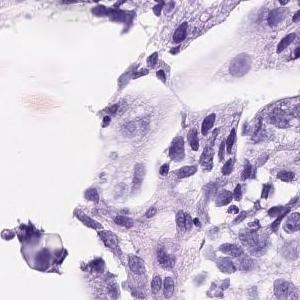
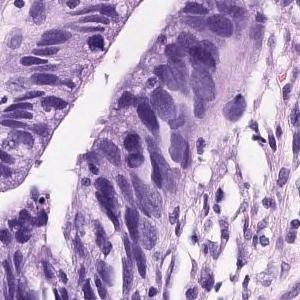
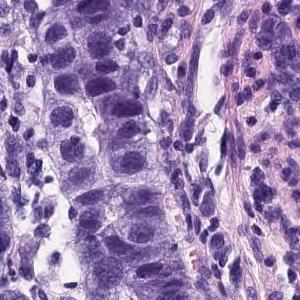
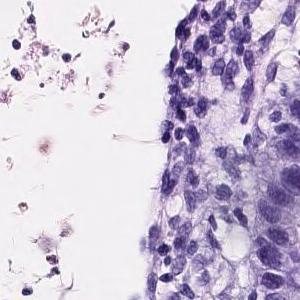
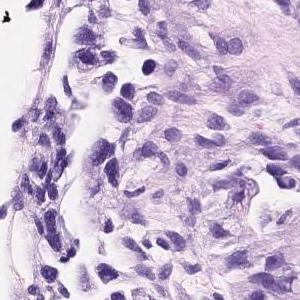
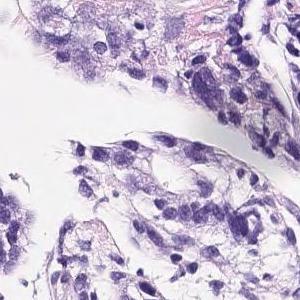
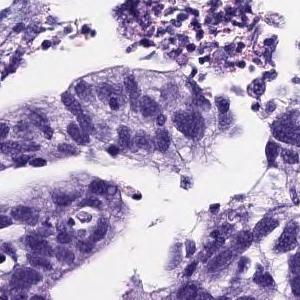
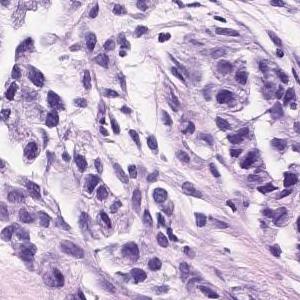
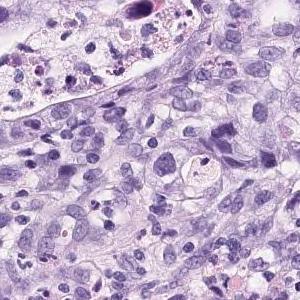
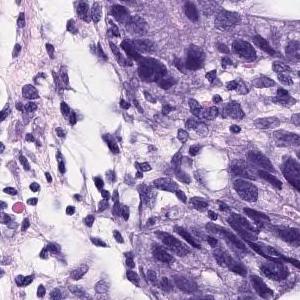
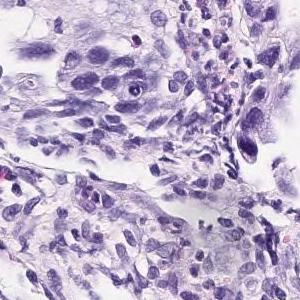
H&E stain; 11 patches cut from one gastric biopsy slide; 300 × 300 pixels each.
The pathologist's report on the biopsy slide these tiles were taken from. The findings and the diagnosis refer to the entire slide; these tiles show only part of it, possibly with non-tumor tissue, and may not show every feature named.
On the superficial epithelium, tumor tissue consisting of medium to small irregular tubules partially fused and proliferated is observed. moderately differentiated tubular adenocarcinoma
